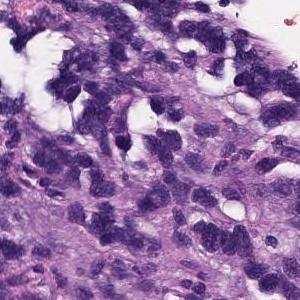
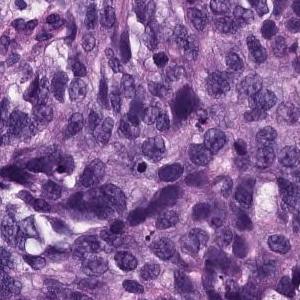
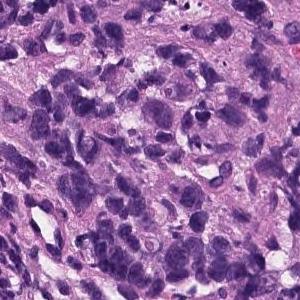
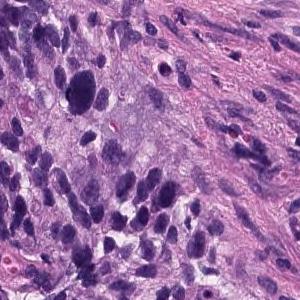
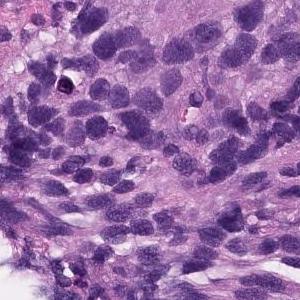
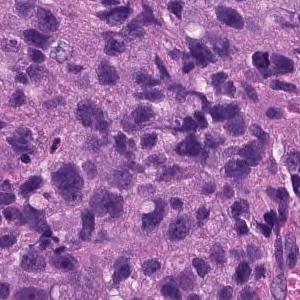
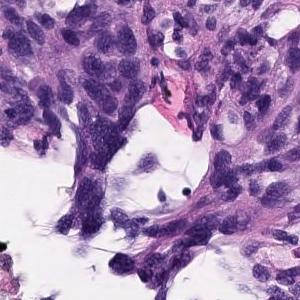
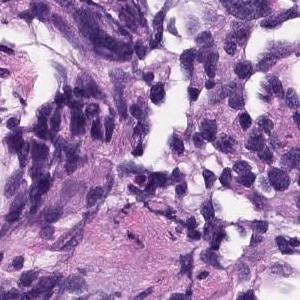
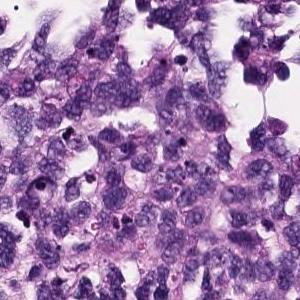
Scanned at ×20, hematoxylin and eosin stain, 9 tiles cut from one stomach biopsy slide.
Diagnostic report for the slide these tiles come from. Both the report and the diagnosis are for the whole slide: these tiles need not show every feature named, and some of the tissue shown may not be tumor.
Atypical l cells with atypical nuclei under the mucosa growing in isolation and scattered. Poorly differentiated adenocarcinoma (poorly differentiated adenocarcinoma, non-solid type)
Subtype: Poorly differentiated adenocarcinoma, non-solid type.
The term "non-solid type" comes from the Japanese Classification of Gastric Carcinoma.
